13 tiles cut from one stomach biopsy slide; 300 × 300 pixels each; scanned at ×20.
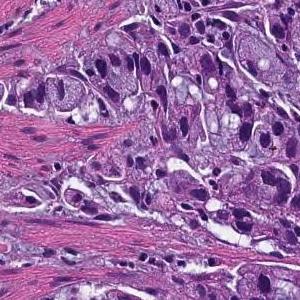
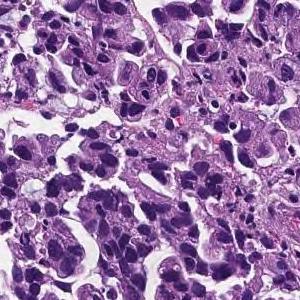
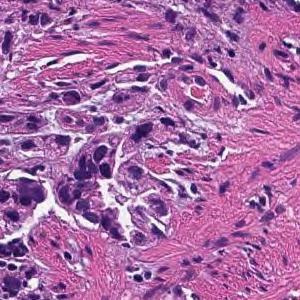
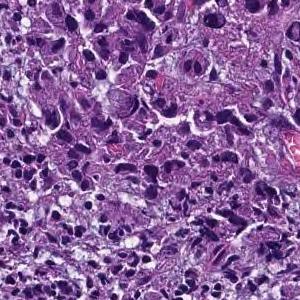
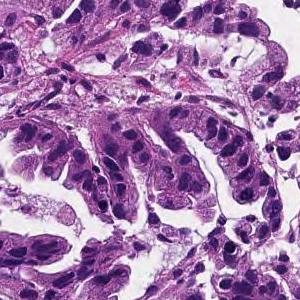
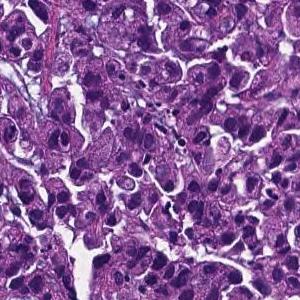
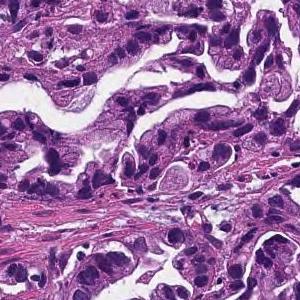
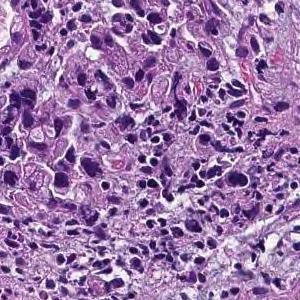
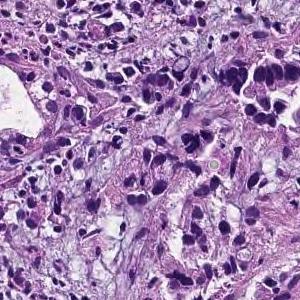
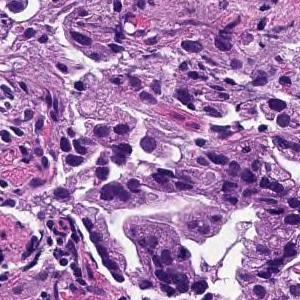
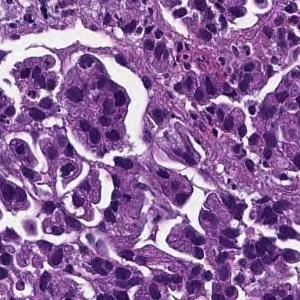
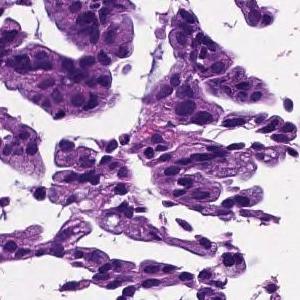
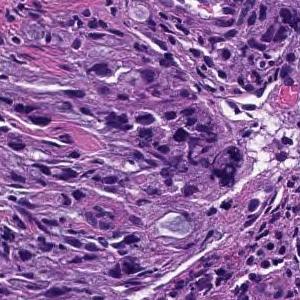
The pathologist's report on the biopsy slide these tiles were taken from. The findings and the diagnosis refer to the entire slide; these tiles show only part of it, possibly with non-tumor tissue, and may not show every feature named.
Tumor tissue consisting of medium-sized, cord-like or irregular glandular infiltration is observed in the superficial epithelium. Poorly differentiated adenocarcinoma, non-solid type or moderately differentiated tubular adenocarcinoma
Histologic type: Moderately to poorly differentiated adenocarcinoma.
"Non-solid type" is a category of the Japanese Classification of Gastric Carcinoma.
